8 tiles cut from one stomach biopsy slide, hematoxylin and eosin stain, 20× magnification.
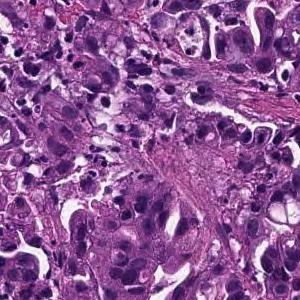
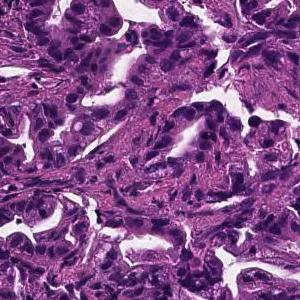
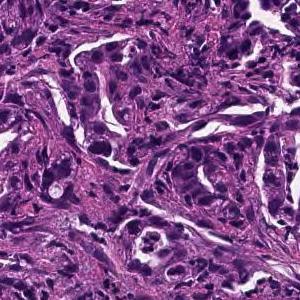
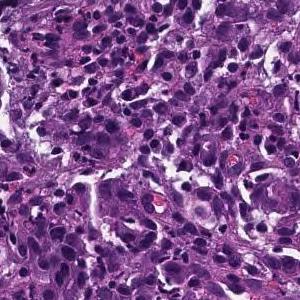
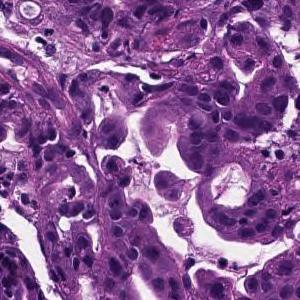
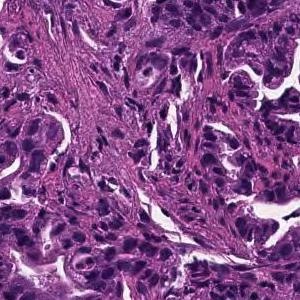
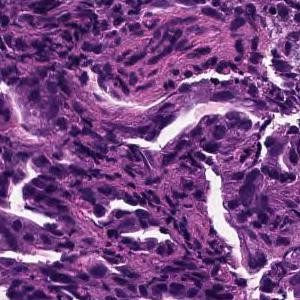
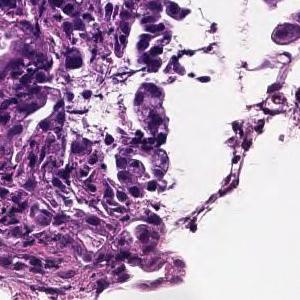
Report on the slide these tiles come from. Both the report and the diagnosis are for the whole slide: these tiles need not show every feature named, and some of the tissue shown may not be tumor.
Tumor tissue consisting of medium-sized, cord-like or irregular glandular infiltration is observed in the superficial epithelium. Poorly differentiated adenocarcinoma, non-solid type or moderately differentiated tubular adenocarcinoma
Tumor subtype: moderately to poorly differentiated adenocarcinoma.
The non-solid type named here is a Japanese Classification of Gastric Carcinoma category.
